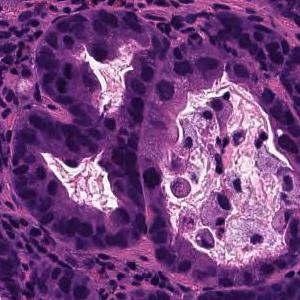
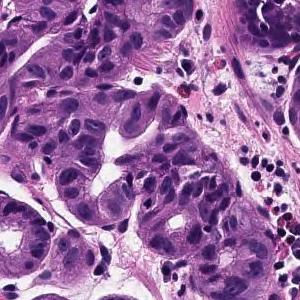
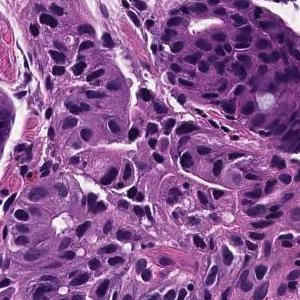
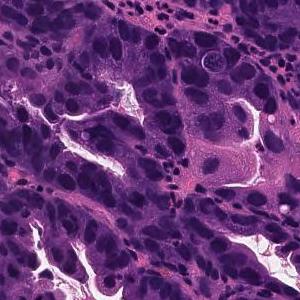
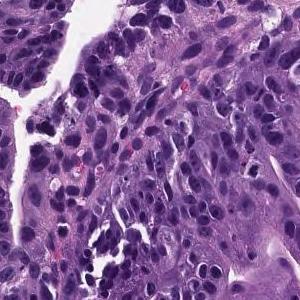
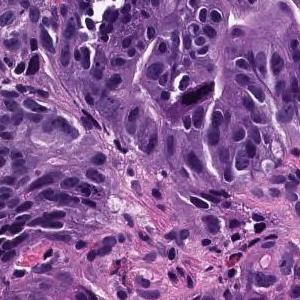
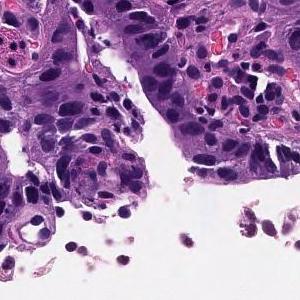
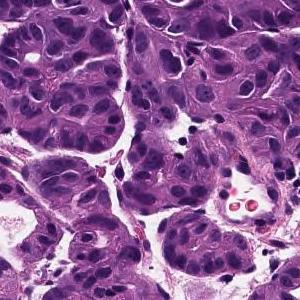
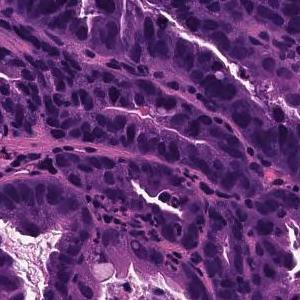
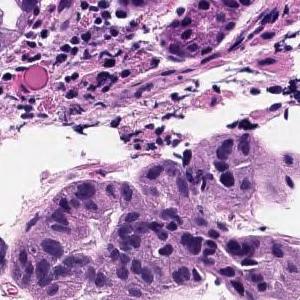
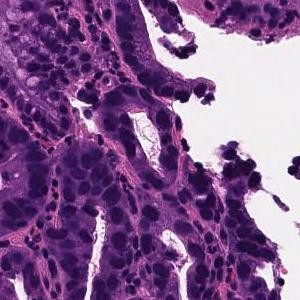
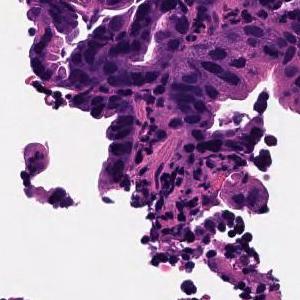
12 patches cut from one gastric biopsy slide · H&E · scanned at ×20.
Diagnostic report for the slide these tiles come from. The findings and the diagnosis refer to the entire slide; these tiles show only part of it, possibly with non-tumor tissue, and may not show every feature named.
On the superficial epithelium, tumor tissue consisting of large irregular glandular ducts partially fused and infiltrated is observed. Well to moderately differentiated tubular adenocarcinoma (well differentiated tubular adenocarcinoma, moderately differentiated tubular adenocarcinoma)
Histological subtype: Well to moderately differentiated tubular adenocarcinoma.
